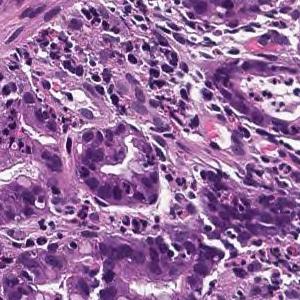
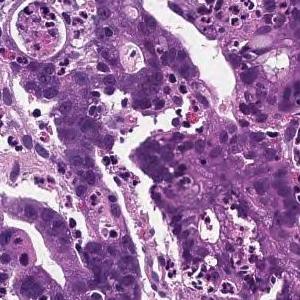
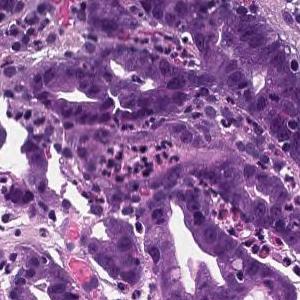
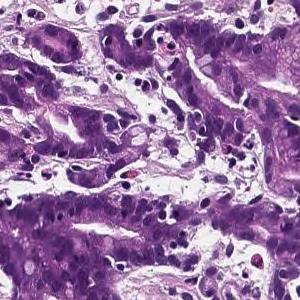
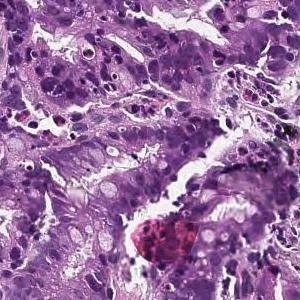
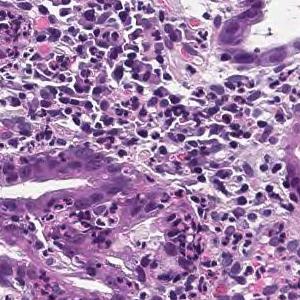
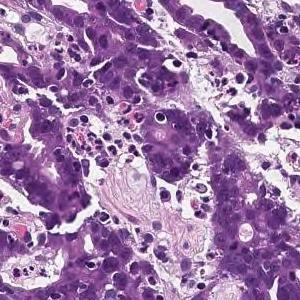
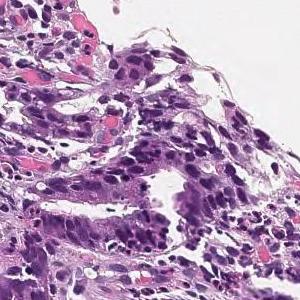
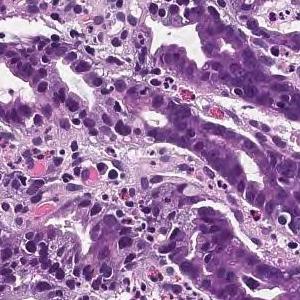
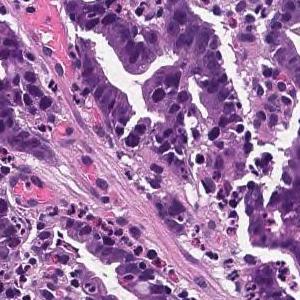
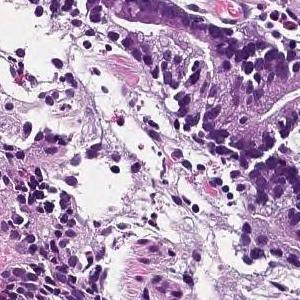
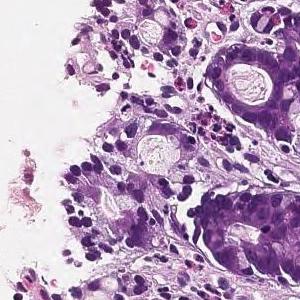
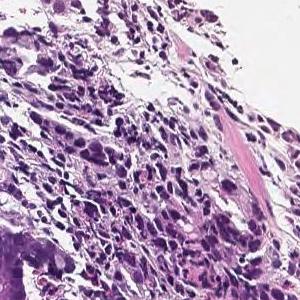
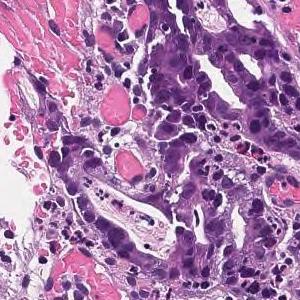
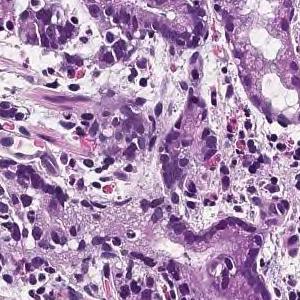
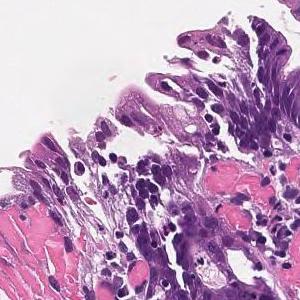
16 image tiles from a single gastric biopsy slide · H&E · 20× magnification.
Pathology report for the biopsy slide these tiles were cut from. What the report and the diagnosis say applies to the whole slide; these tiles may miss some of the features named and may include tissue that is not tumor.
In the superficial epithelium, tumor tissue that invades by forming medium-sized to small, irregular ducts is observed. moderately differentiated tubular adenocarcinoma.
